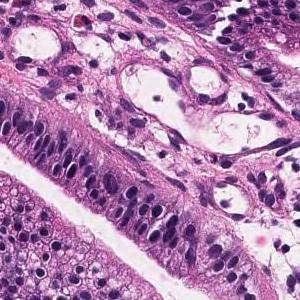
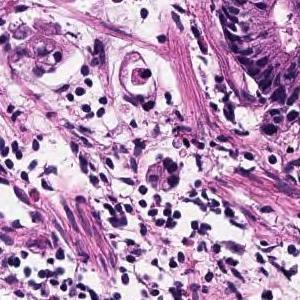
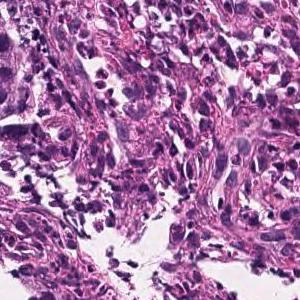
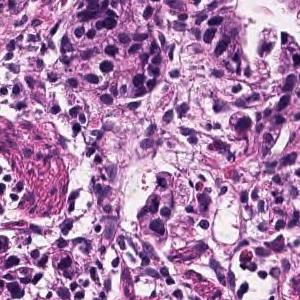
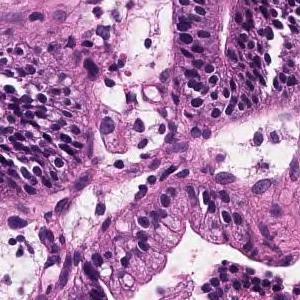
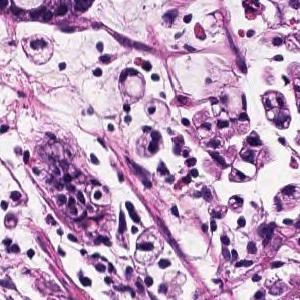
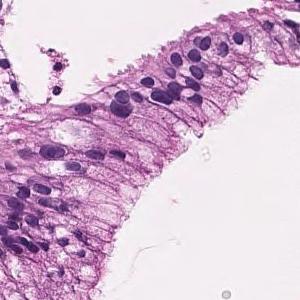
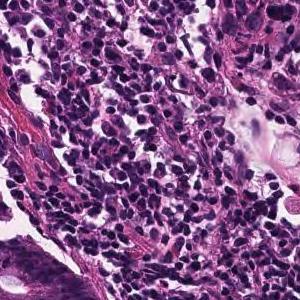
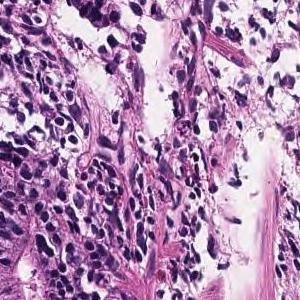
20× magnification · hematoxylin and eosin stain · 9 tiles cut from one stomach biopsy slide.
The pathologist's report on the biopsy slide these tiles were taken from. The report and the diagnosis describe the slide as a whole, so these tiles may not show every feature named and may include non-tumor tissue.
Tumor tissue consisting of large papillary structures or irregular glandular ducts partially fused and infiltrated is observed in the superficial epithelium. Well to moderately differentiated tubular adenocarcinoma.
Labeled in the dataset as moderately differentiated tubular adenocarcinoma.
